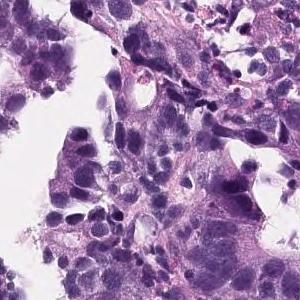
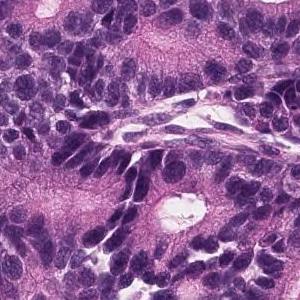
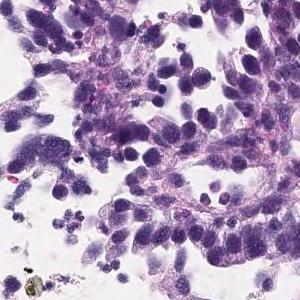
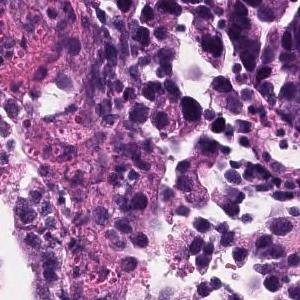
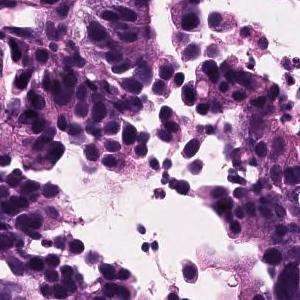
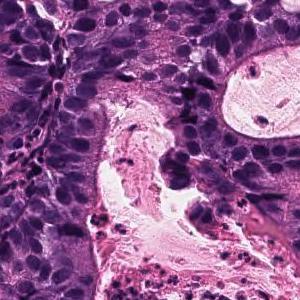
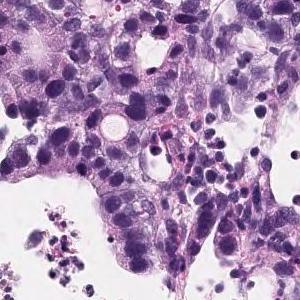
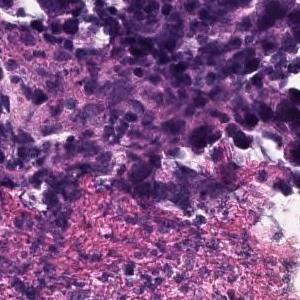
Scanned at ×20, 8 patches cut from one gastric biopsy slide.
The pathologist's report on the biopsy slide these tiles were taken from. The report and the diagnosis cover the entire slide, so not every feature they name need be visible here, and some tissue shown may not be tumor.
In the superficial epithelium, tumor tissue that invades by forming medium-sized to small, irregular ducts is observed. moderately differentiated tubular adenocarcinoma.
